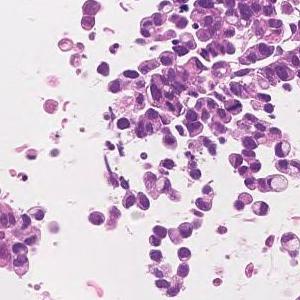
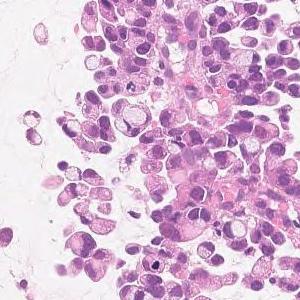
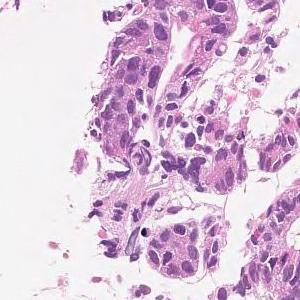
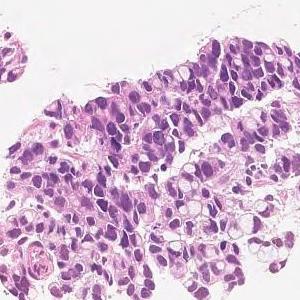
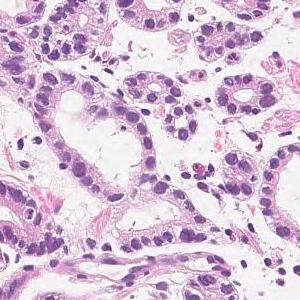
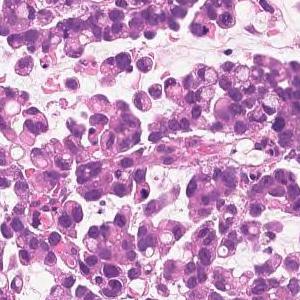
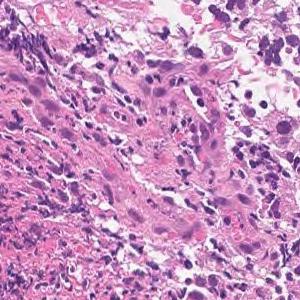
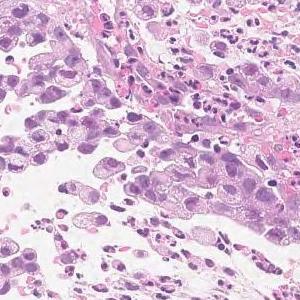
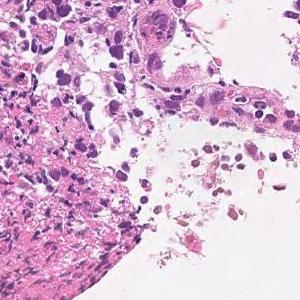
9 tiles cut from one stomach biopsy slide.
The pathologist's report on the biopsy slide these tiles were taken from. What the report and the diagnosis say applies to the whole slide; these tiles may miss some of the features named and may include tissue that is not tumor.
Medium to small, irregular glandular ducts are formed in the superficial epithelium, and in some cases, the glandular ducts are fused to show solid alveolar lesions and infiltrating tumor tissue is observed. Moderately to poorly differentiated adenocarcinoma.
